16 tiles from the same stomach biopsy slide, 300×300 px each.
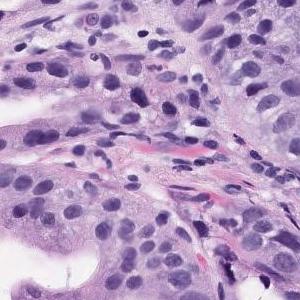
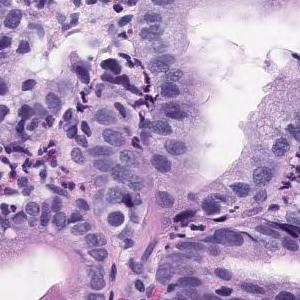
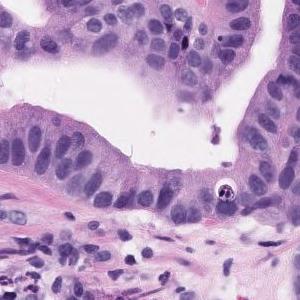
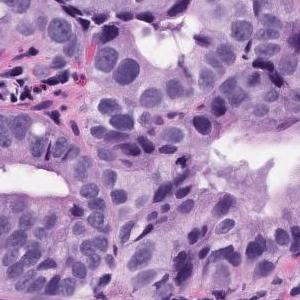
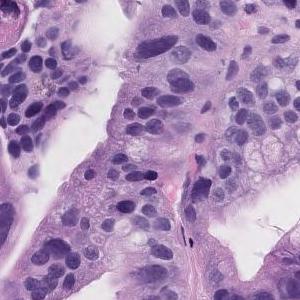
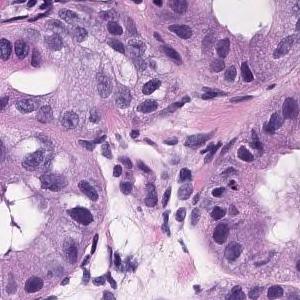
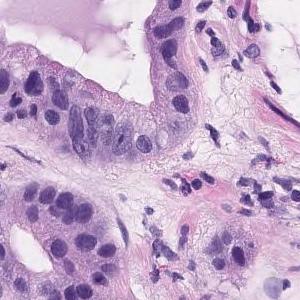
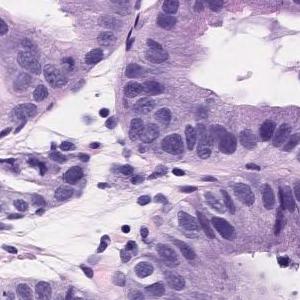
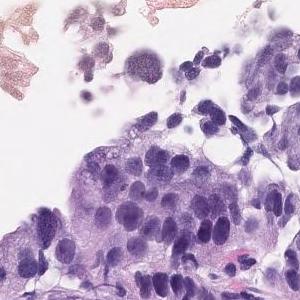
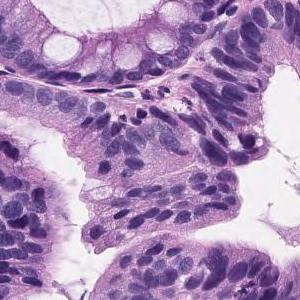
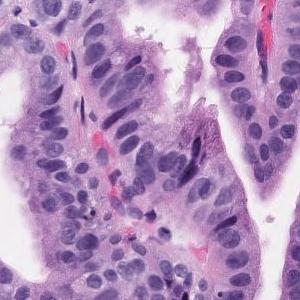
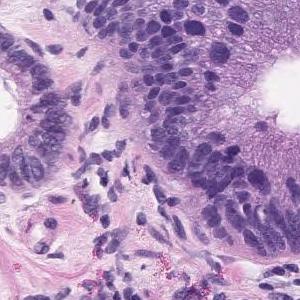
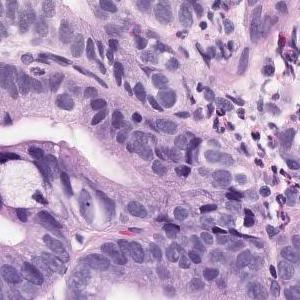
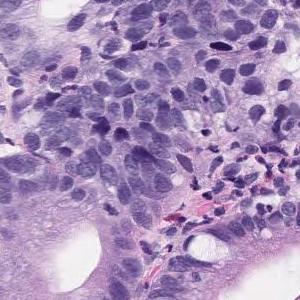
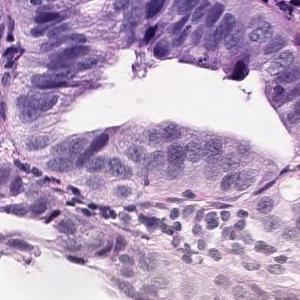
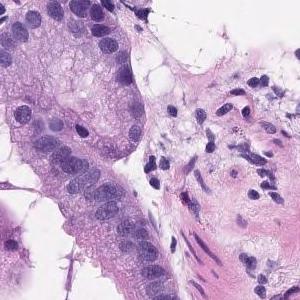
The pathologist's report on the biopsy slide these tiles were taken from. The report and the diagnosis cover the entire slide, so not every feature they name need be visible here, and some tissue shown may not be tumor.
Tumor tissue consisting of medium-sized and irregular ducts is observed infiltrating in the superficial epithelium. Tumor cells are highly columnar, with nuclei aligned basolaterally and polarized. Well differentiated tubular adenocarcinoma.
